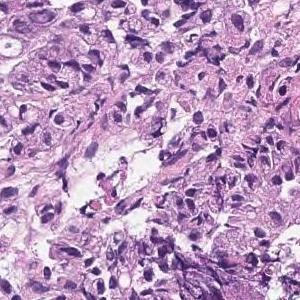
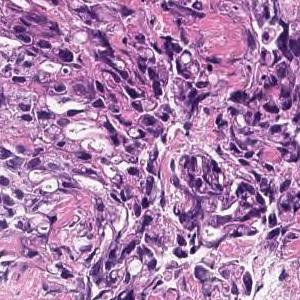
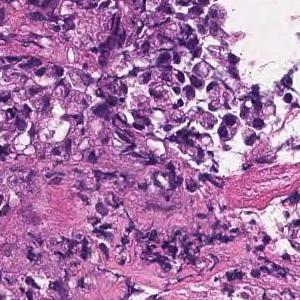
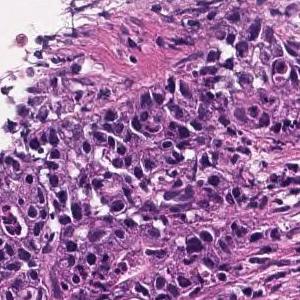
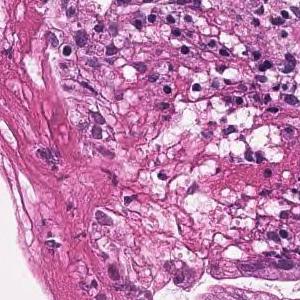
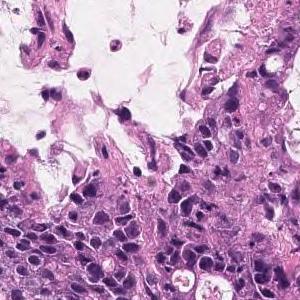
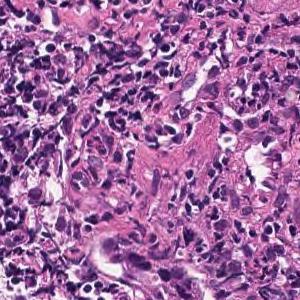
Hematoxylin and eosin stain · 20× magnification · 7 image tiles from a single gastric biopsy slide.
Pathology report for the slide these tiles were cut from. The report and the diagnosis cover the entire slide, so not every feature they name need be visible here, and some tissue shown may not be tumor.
Medium to small, irregular glandular ducts are formed in the superficial epithelium, and in some cases, the glandular ducts are fused to show solid alveolar lesions and infiltrating tumor tissue is observed. Moderately to poorly differentiated adenocarcinoma.
